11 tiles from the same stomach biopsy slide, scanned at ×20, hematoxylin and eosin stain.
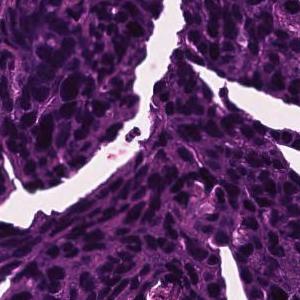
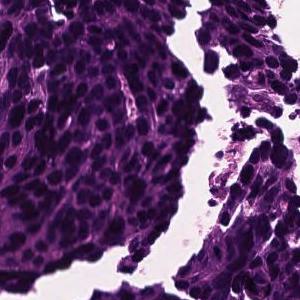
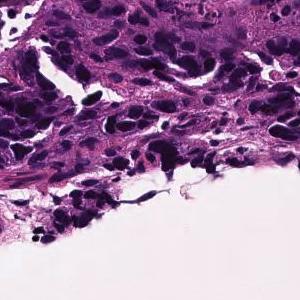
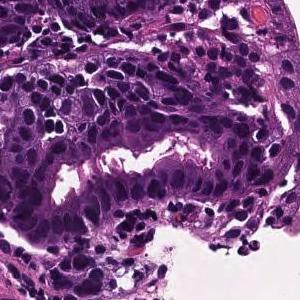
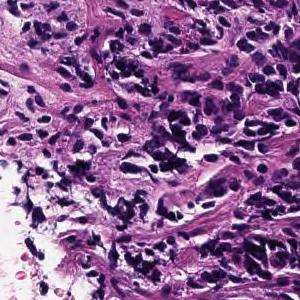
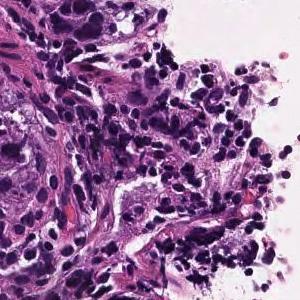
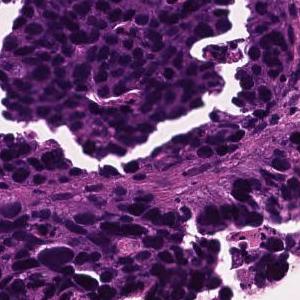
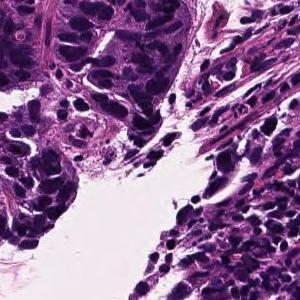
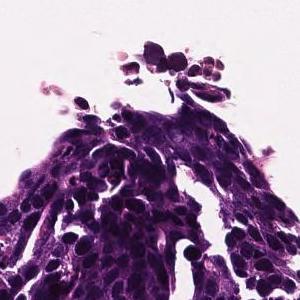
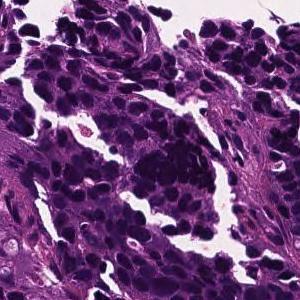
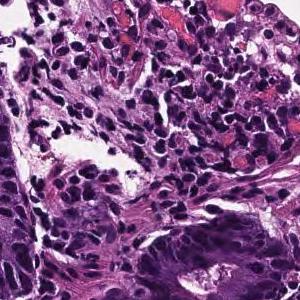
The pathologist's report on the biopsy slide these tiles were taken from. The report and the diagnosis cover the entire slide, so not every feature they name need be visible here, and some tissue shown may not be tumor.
In the superficial epithelium, medium to small irregular gland ducts are formed, and in some cases, the ducts are fused to show solid alveolar lesions and infiltrating tumor tissue is observed. moderately differentiated tubular adenocarcinoma or poorly differentiated adenocarcinoma, solid-type (poorly differentiated adenocarcinoma, solid type)
Labeled in the dataset as poorly differentiated adenocarcinoma, solid type. This name comes from the Japanese Classification of Gastric Carcinoma; the WHO 2019 classification calls it tubular adenocarcinoma, poorly differentiated.
